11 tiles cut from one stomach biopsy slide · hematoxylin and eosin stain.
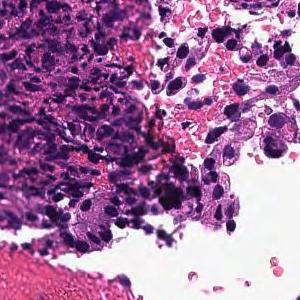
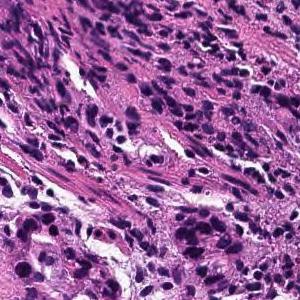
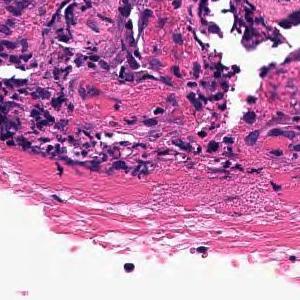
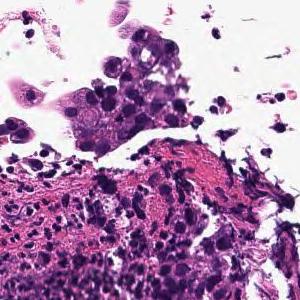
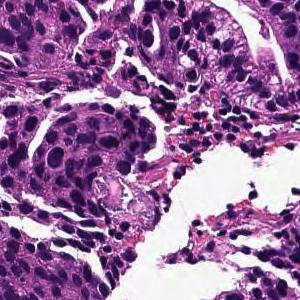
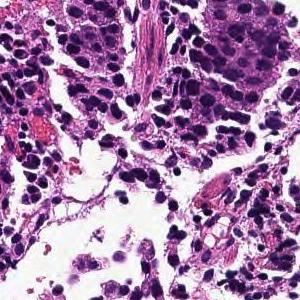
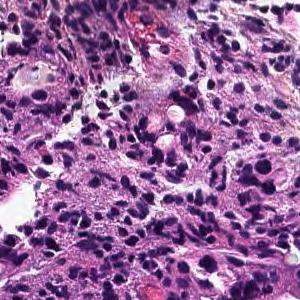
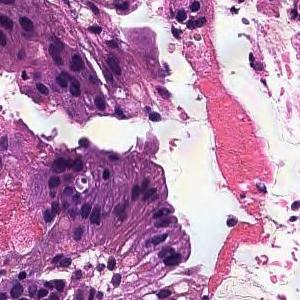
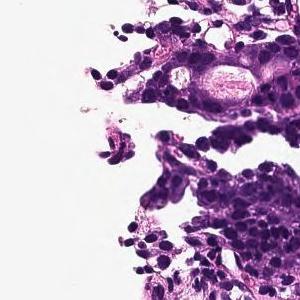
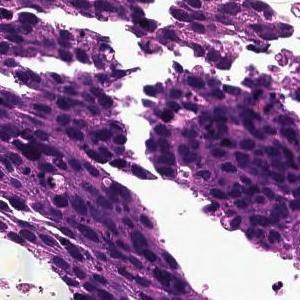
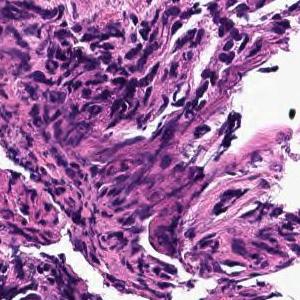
The pathologist's report on the biopsy slide these tiles were taken from. Both the report and the diagnosis are for the whole slide: these tiles need not show every feature named, and some of the tissue shown may not be tumor.
In the superficial epithelium, tumor tissue that invades by forming medium-sized to small, irregular ducts is observed. moderately differentiated tubular adenocarcinoma.
